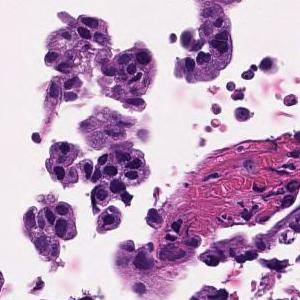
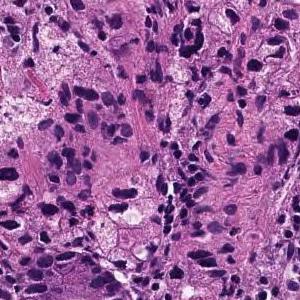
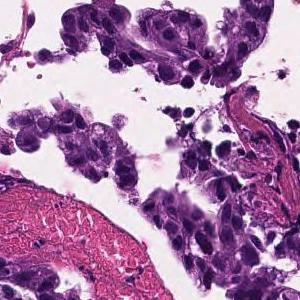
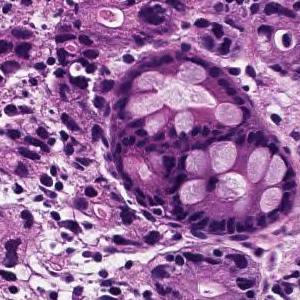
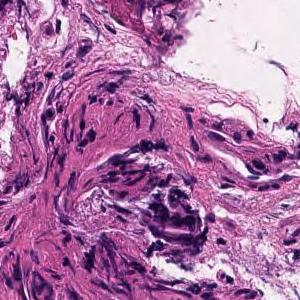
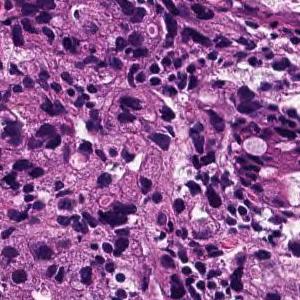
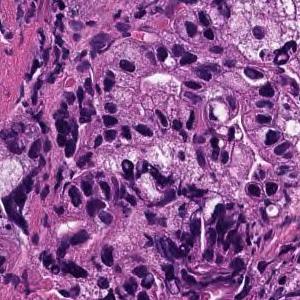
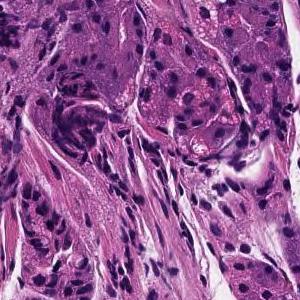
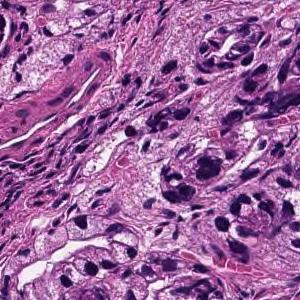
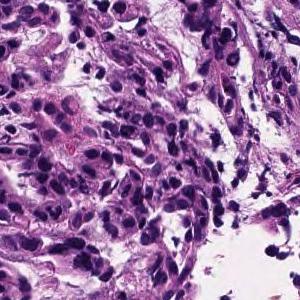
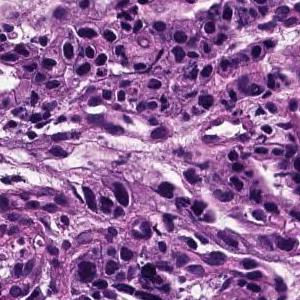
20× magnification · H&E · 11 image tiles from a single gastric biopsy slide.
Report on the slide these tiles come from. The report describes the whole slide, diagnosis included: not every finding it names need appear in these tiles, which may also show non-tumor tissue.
In the superficial epithelium, tumor tissue that invades by forming medium-sized to small, irregular ducts is observed. moderately differentiated tubular adenocarcinoma.
